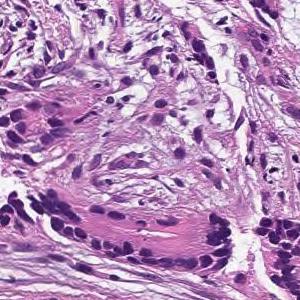
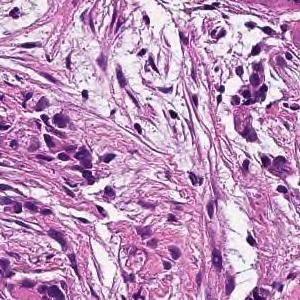
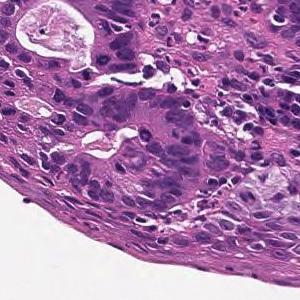
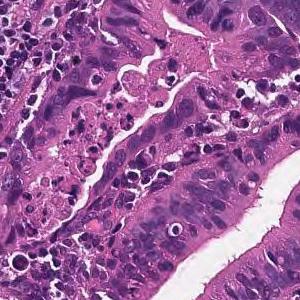
H&E stain, ×20, 4 image tiles from a single gastric biopsy slide.
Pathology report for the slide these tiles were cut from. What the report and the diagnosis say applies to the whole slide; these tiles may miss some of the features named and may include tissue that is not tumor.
From the superficial epithelium to the muscularis mucosae, tumor tissue consisting of medium-sized and irregular glandular ducts infiltrating is observed. Well differentiated tubular adenocarcinoma
